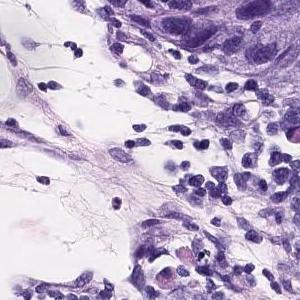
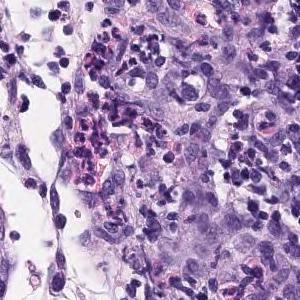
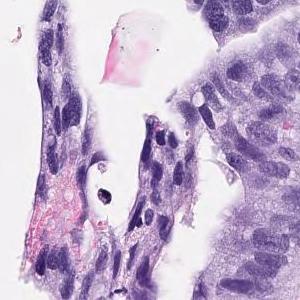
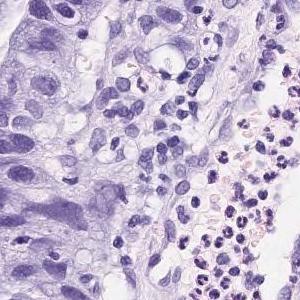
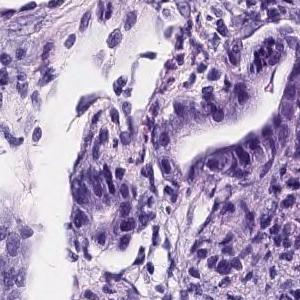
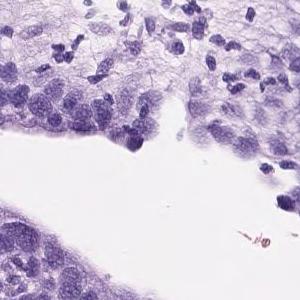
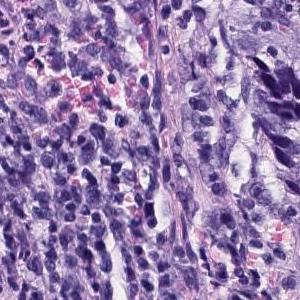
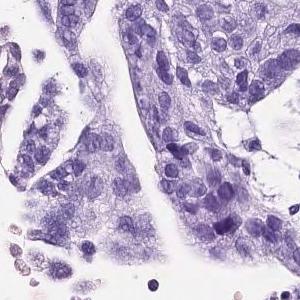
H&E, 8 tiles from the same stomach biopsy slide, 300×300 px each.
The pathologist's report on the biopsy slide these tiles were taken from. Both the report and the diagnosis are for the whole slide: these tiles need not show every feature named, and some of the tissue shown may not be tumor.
On the superficial epithelium, tumor tissue consisting of medium to small irregular tubules partially fused and proliferated is observed. moderately differentiated tubular adenocarcinoma
